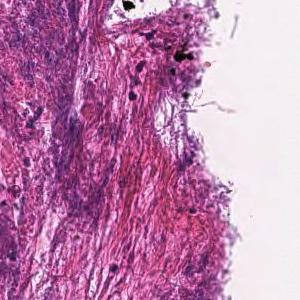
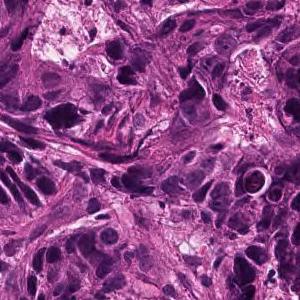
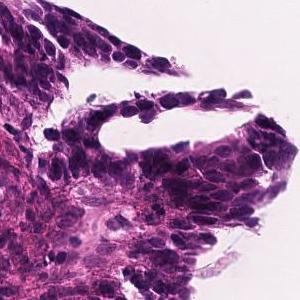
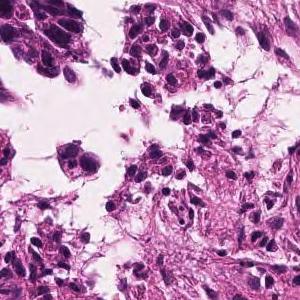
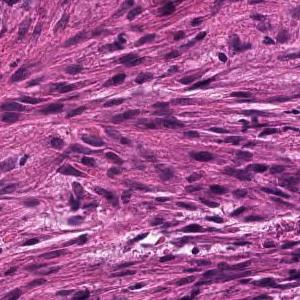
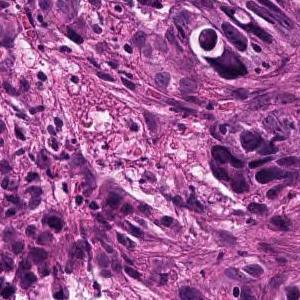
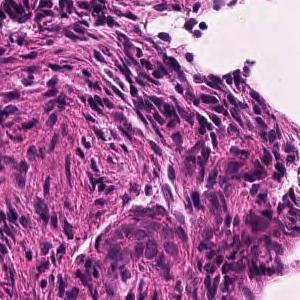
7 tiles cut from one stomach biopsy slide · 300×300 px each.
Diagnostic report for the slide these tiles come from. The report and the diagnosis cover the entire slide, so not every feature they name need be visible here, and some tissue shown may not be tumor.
In the superficial epithelium, tumor tissue that invades by forming medium-sized to small, irregular ducts is observed. moderately differentiated tubular adenocarcinoma.
